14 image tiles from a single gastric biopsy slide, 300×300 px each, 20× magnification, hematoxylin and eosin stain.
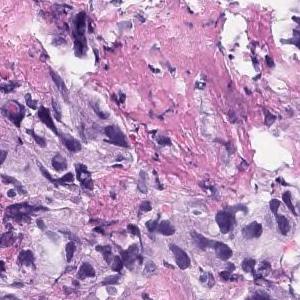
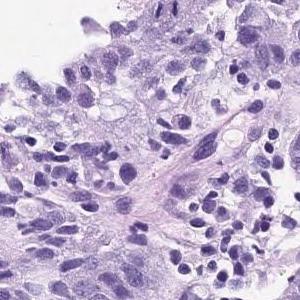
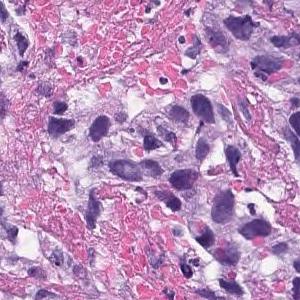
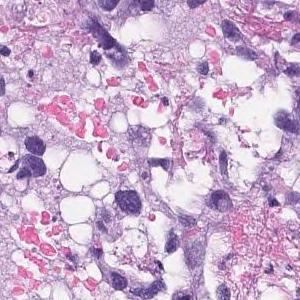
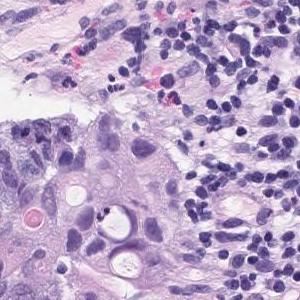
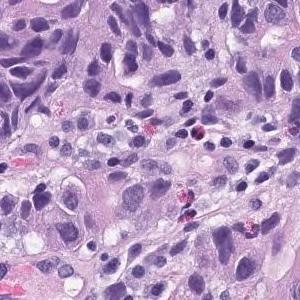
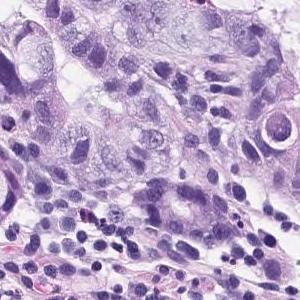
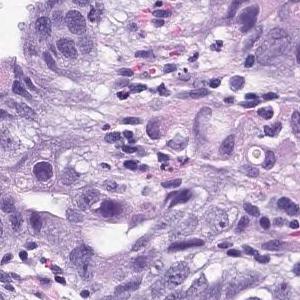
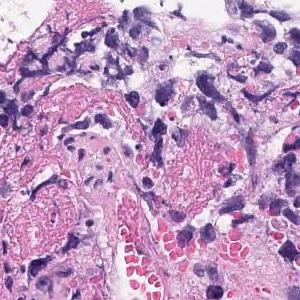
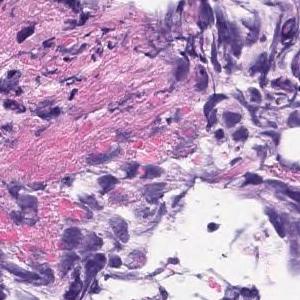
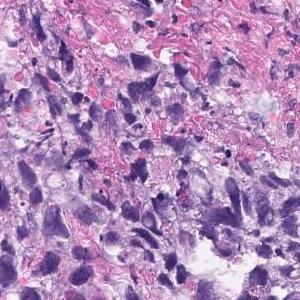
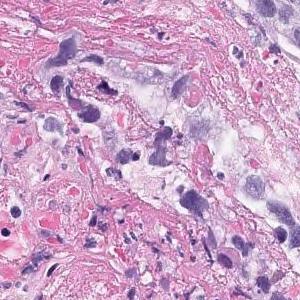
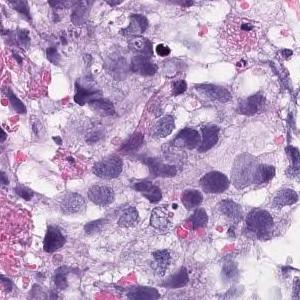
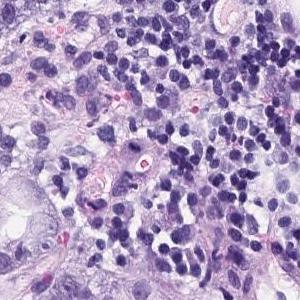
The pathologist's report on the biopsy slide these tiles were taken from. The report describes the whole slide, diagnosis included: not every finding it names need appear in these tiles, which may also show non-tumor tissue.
In the superficial epithelium, tumor tissue that invades by forming medium-sized to small, irregular ducts is observed. Moderately differentiated adenocarcinoma.
Subtype: Moderately differentiated tubular adenocarcinoma.
